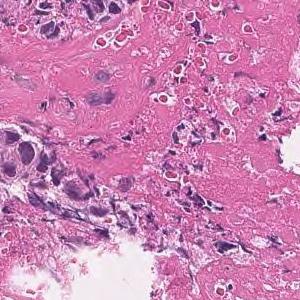
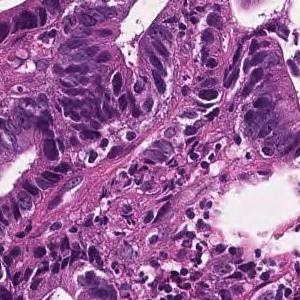
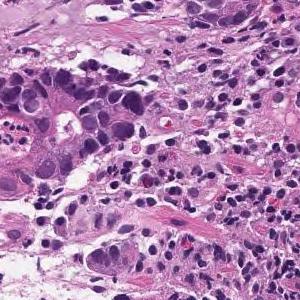
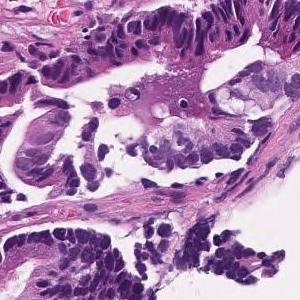
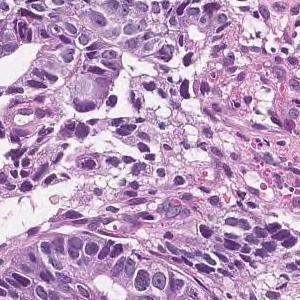
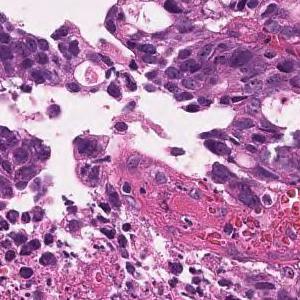
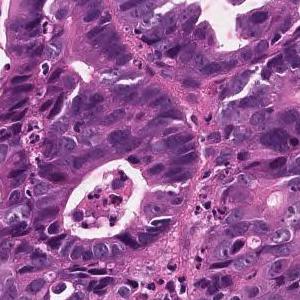
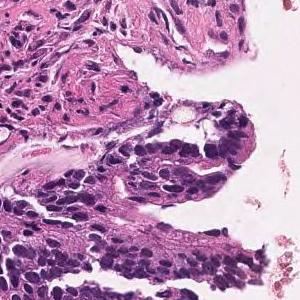
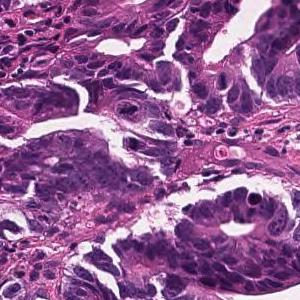
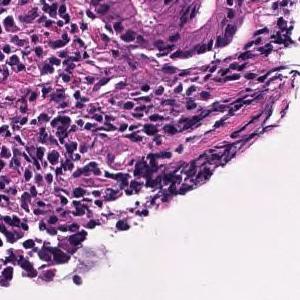
10 image tiles from a single gastric biopsy slide; H&E; scanned at ×20.
Report on the slide these tiles come from. Both the report and the diagnosis are for the whole slide: these tiles need not show every feature named, and some of the tissue shown may not be tumor.
In the superficial epithelium, tumor tissue that invades by forming medium-sized to small, irregular ducts is observed. moderately differentiated tubular adenocarcinoma.
